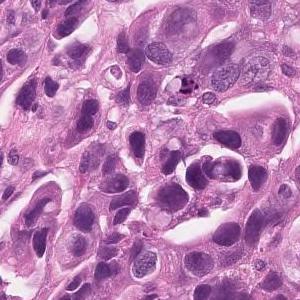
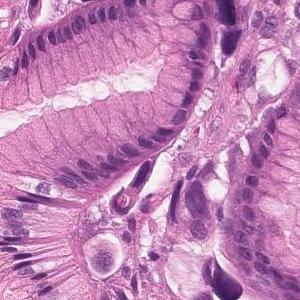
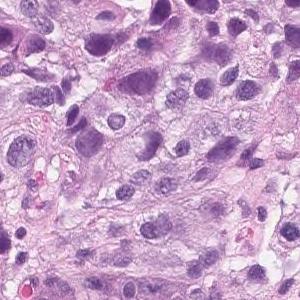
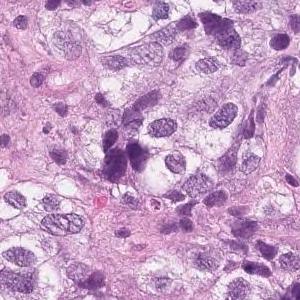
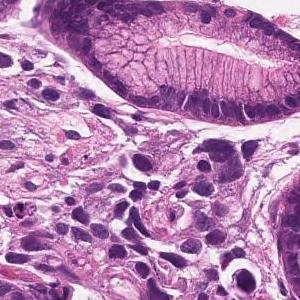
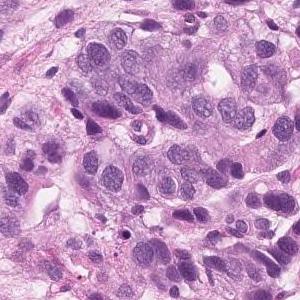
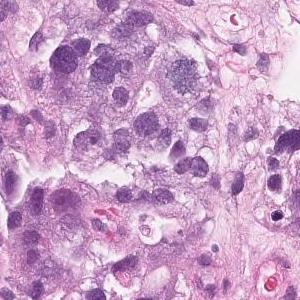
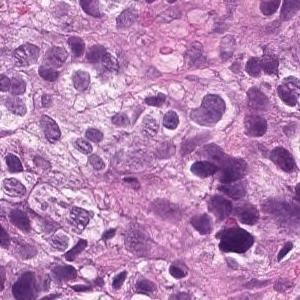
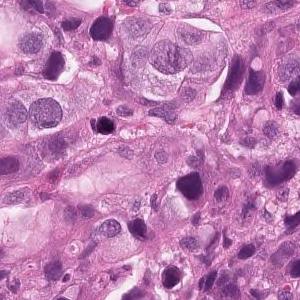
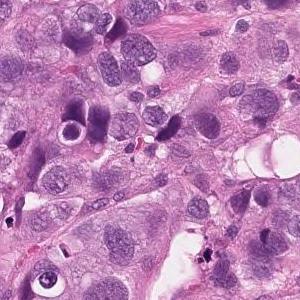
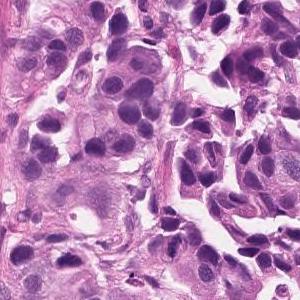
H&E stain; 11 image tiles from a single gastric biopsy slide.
Pathology report for the biopsy slide these tiles were cut from. Both the report and the diagnosis are for the whole slide: these tiles need not show every feature named, and some of the tissue shown may not be tumor.
Tumor tissue that infiltrates the epithelium in an alveolar manner. Poorly differentiated adenocarcinoma, solid-type
Classified as poorly differentiated adenocarcinoma, solid type, a category of the Japanese Classification of Gastric Carcinoma; in the WHO 2019 classification it is tubular adenocarcinoma, poorly differentiated.
